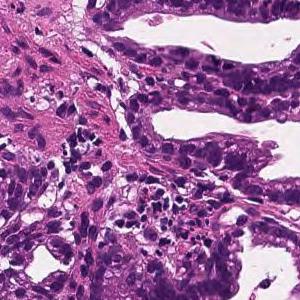
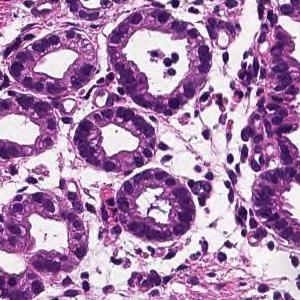
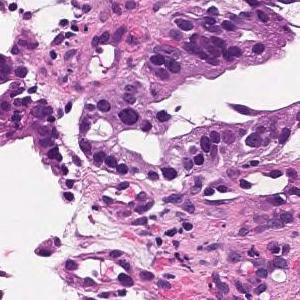
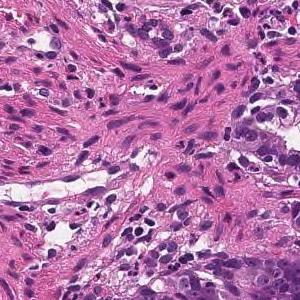
H&E · scanned at ×20 · 4 patches cut from one gastric biopsy slide · each 300 × 300 pixels.
The pathologist's report on the biopsy slide these tiles were taken from. The report and the diagnosis describe the slide as a whole, so these tiles may not show every feature named and may include non-tumor tissue.
On the superficial epithelium, tumor tissue that infiltrates by forming medium-sized papillary or small irregular ducts is observed. Papillary adenocarcinoma
